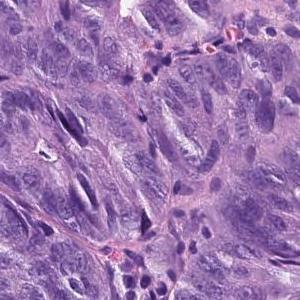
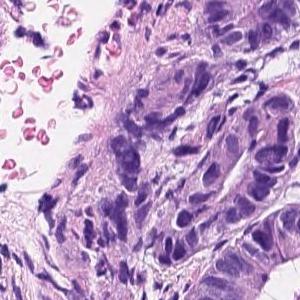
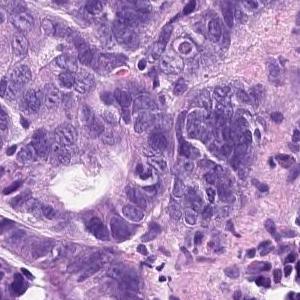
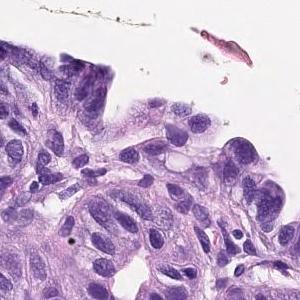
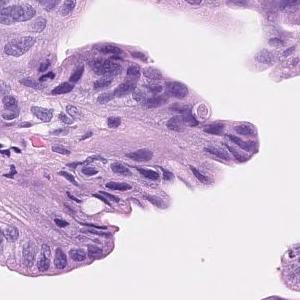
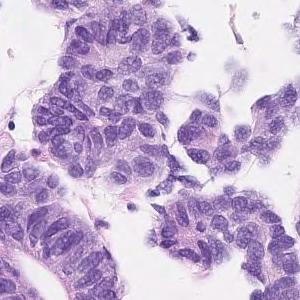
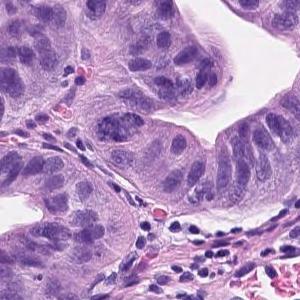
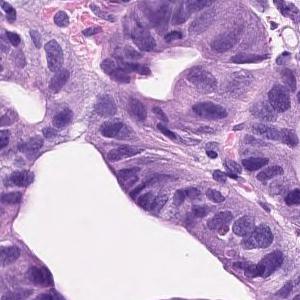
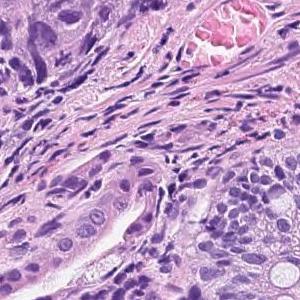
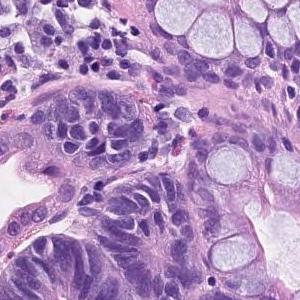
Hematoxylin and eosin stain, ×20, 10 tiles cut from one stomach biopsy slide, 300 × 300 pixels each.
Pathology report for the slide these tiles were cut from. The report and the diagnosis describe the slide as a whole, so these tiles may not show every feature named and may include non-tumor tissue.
Tumor tissue consisting of medium-sized and irregular ducts is observed infiltrating in the superficial epithelium. Tumor cells are highly columnar, with nuclei aligned basolaterally and polarized. Well differentiated tubular adenocarcinoma.
